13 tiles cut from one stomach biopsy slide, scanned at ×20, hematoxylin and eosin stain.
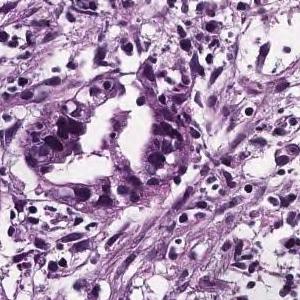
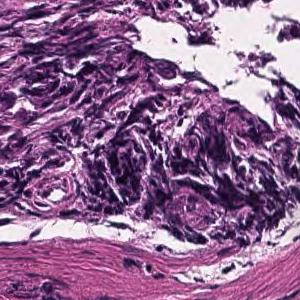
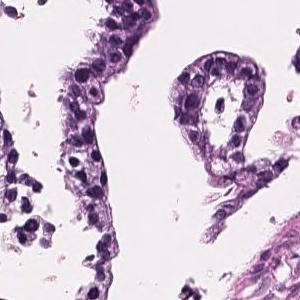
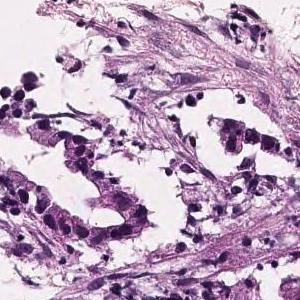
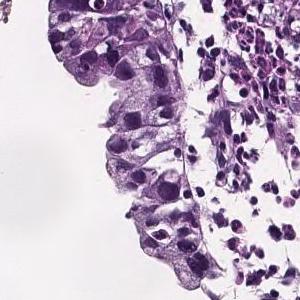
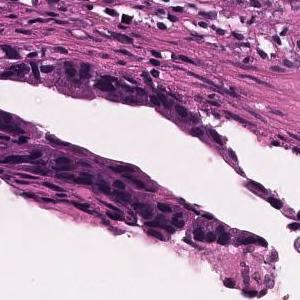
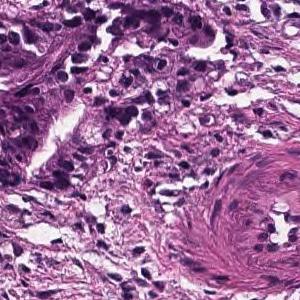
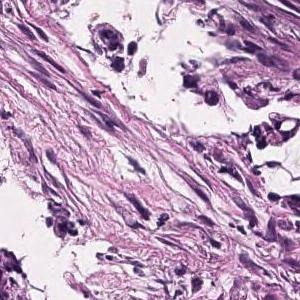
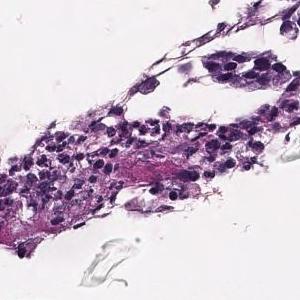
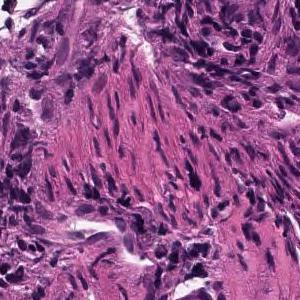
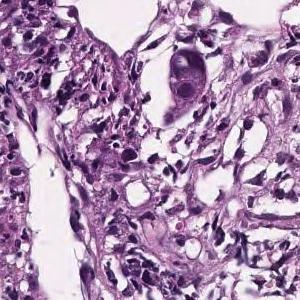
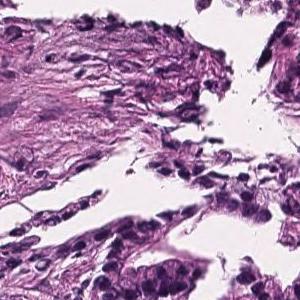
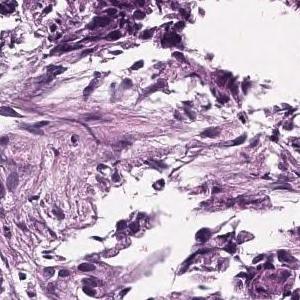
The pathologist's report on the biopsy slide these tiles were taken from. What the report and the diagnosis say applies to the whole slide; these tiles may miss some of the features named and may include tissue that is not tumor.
In the superficial epithelium, tumor tissue that invades by forming medium-sized to small, irregular ducts is observed. moderately differentiated tubular adenocarcinoma.
